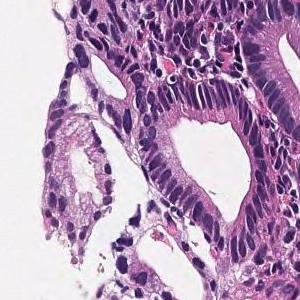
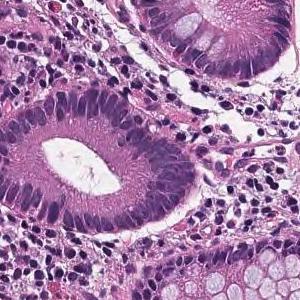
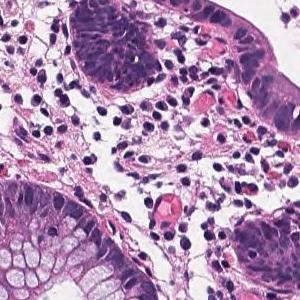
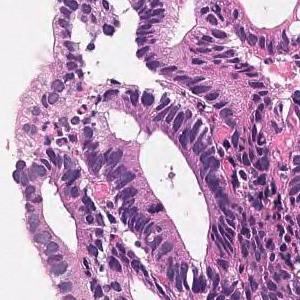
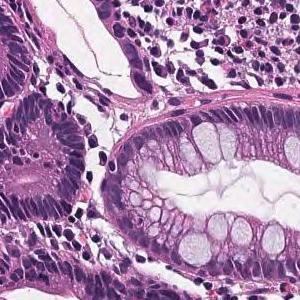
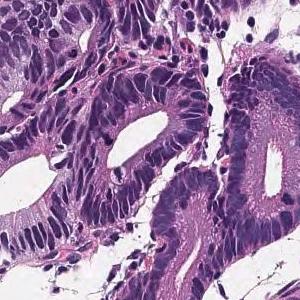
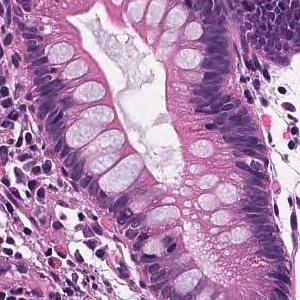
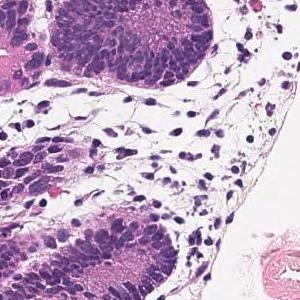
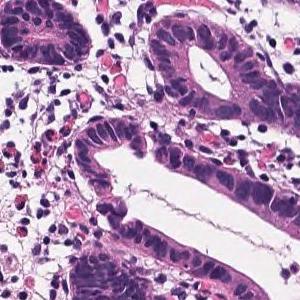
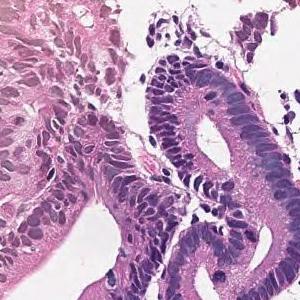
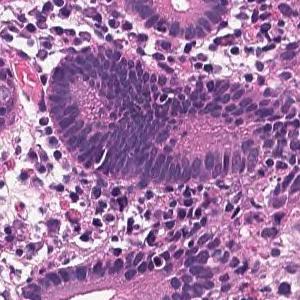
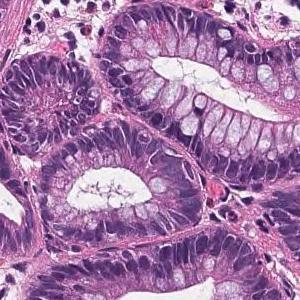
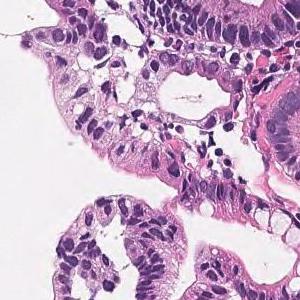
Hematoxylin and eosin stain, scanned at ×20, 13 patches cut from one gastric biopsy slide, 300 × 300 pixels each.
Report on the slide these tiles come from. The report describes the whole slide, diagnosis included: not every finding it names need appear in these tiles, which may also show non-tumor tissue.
Tumor tissue in which medium to small irregular ducts infiltrate and proliferate in the submucosa can be seen in the epithelium. Well differentiated tubular adenocarcinoma
